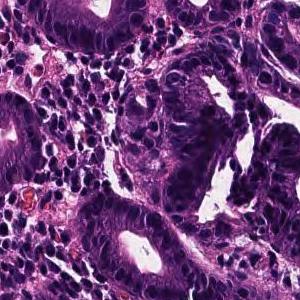
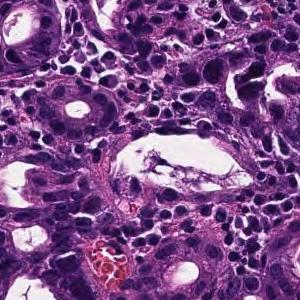
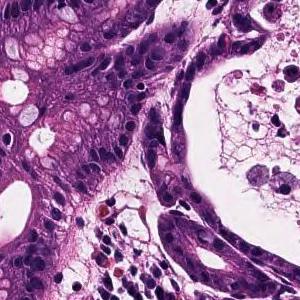
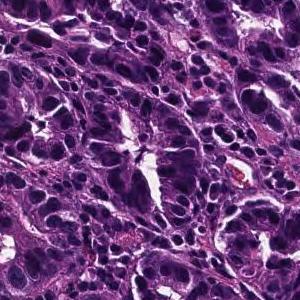
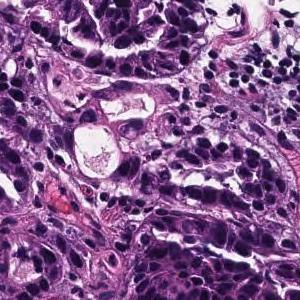
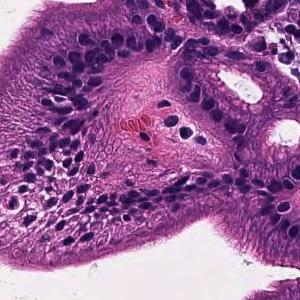
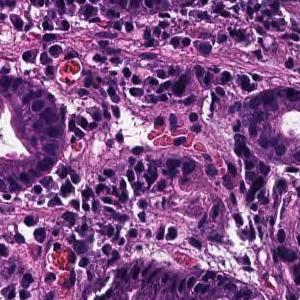
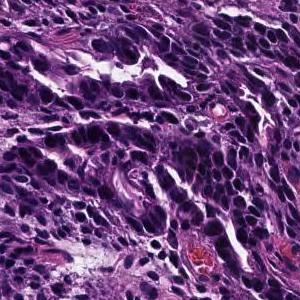
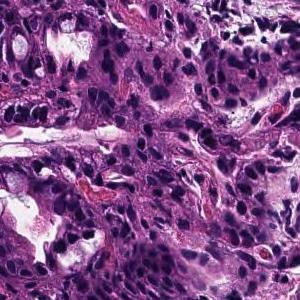
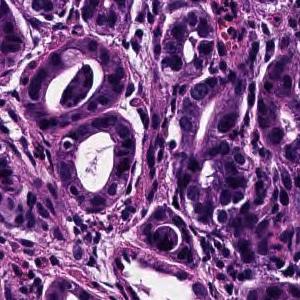
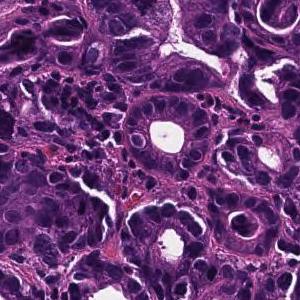
11 tiles from the same stomach biopsy slide · 300 × 300 pixels each · 20× magnification · H&E stain.
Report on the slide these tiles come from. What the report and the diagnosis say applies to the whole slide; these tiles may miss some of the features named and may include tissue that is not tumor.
On the superficial epithelium, tumor tissue consisting of proliferative images of medium-sized to small-sized round or irregular glandular ducts is observed. Well differentiated tubular adenocarcinoma
